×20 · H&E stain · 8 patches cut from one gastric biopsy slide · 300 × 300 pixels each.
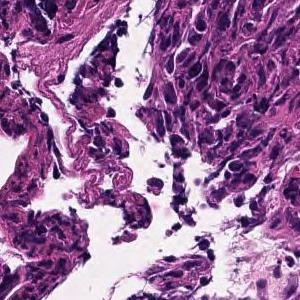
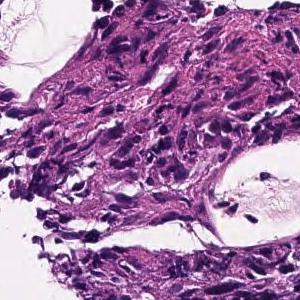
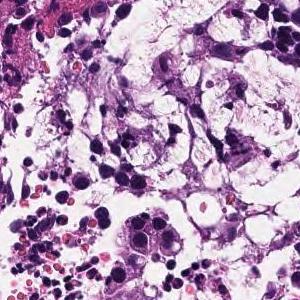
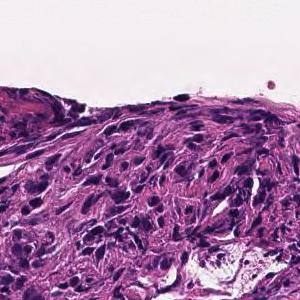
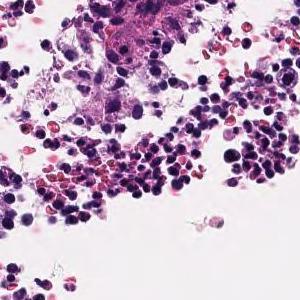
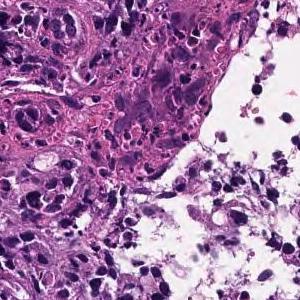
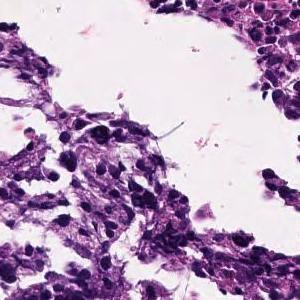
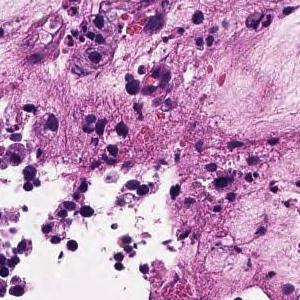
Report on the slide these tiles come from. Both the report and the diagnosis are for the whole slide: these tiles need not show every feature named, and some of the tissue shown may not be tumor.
The superficial epithelium shows a large sheet-like shape, and some tumor tissue infiltrates with small irregular ducts. Poorly differentiated adenocarcinoma, solid-type
Subtype: Poorly differentiated adenocarcinoma, solid type. This name comes from the Japanese Classification of Gastric Carcinoma; the WHO 2019 classification calls it tubular adenocarcinoma, poorly differentiated.
